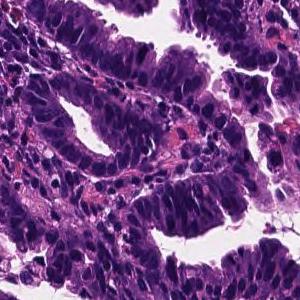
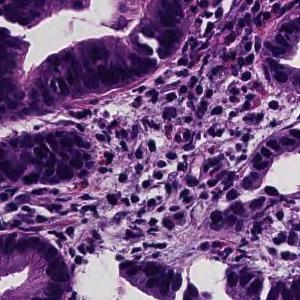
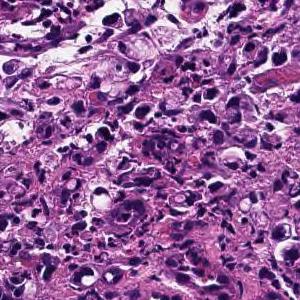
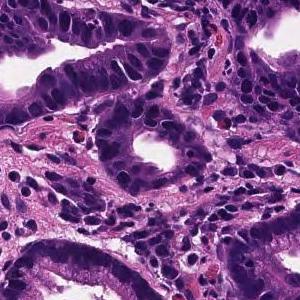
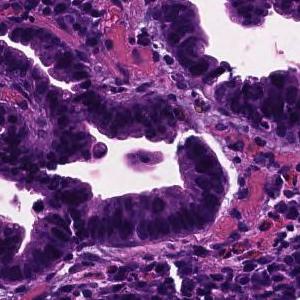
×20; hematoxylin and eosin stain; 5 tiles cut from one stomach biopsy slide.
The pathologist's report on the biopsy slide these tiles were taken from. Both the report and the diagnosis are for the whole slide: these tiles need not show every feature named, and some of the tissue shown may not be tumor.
On the superficial epithelium, tumor tissue that infiltrates by forming medium-sized papillary or small irregular ducts is observed. Papillary adenocarcinoma
